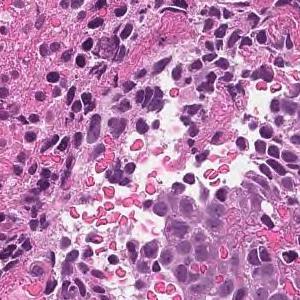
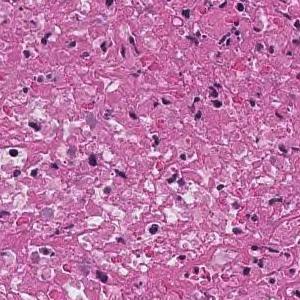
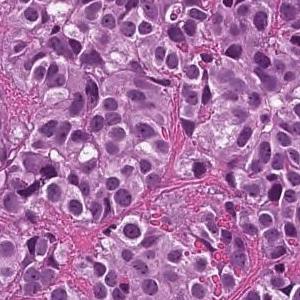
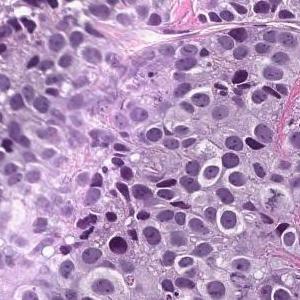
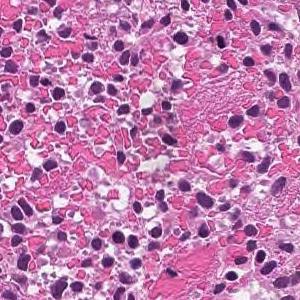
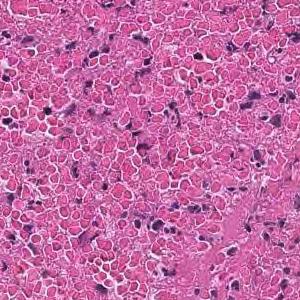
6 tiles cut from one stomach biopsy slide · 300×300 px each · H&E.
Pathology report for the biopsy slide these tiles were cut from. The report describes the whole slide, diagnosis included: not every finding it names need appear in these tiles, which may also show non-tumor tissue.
The superficial epithelium shows a large sheet-like shape, and some tumor tissue infiltrates with small irregular ducts. Poorly differentiated adenocarcinoma, solid-type
Histologic type: Poorly differentiated adenocarcinoma, solid type, a category of the Japanese Classification of Gastric Carcinoma; in the WHO 2019 classification it is tubular adenocarcinoma, poorly differentiated.
